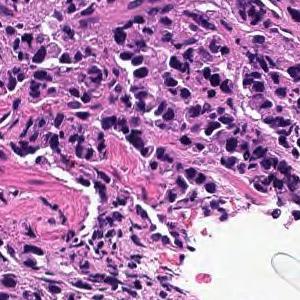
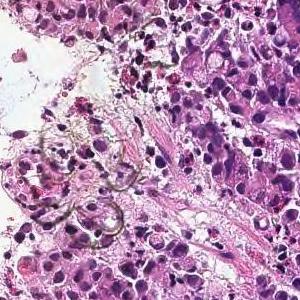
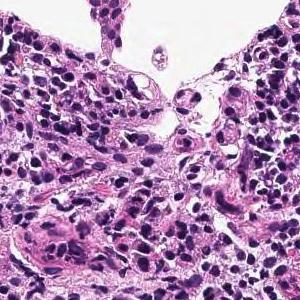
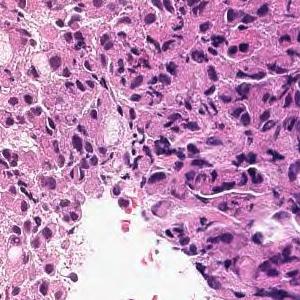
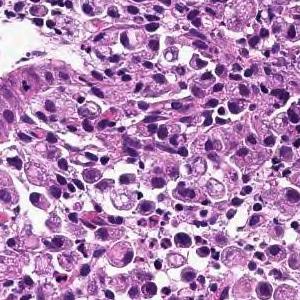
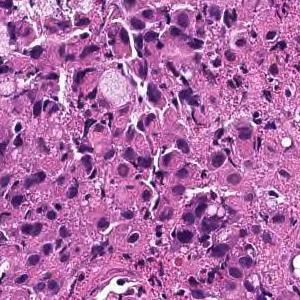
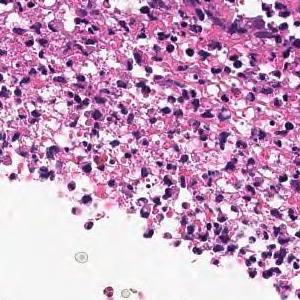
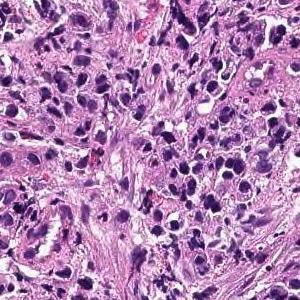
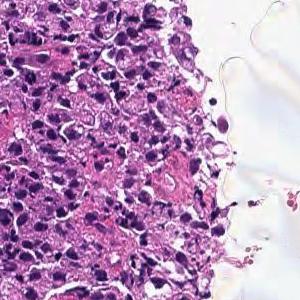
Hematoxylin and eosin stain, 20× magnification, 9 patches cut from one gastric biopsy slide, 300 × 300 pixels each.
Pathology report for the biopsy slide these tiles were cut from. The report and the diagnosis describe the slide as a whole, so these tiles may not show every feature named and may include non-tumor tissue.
Tumor tissue consisting of diffusely infiltrated large atypical epithelial cells or signet ring atypical cells is observed in the superficial epithelium. Poorly differentiated adenocarcinoma, solid-type
Classified as poorly differentiated adenocarcinoma, solid type (Japanese Classification of Gastric Carcinoma). The WHO 2019 equivalent is tubular adenocarcinoma, poorly differentiated.
